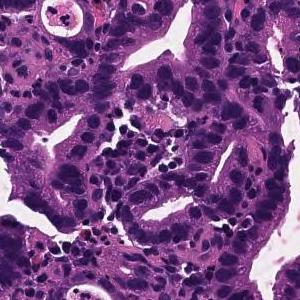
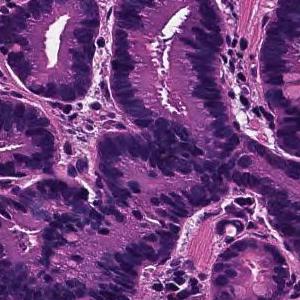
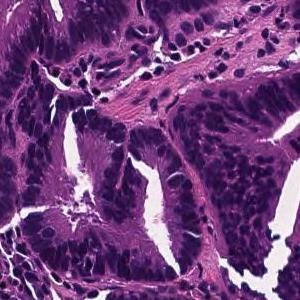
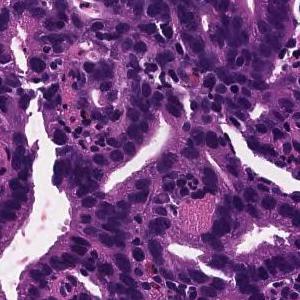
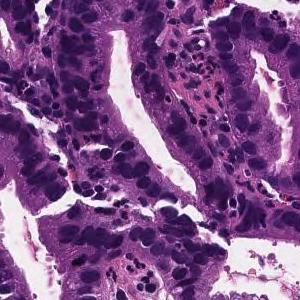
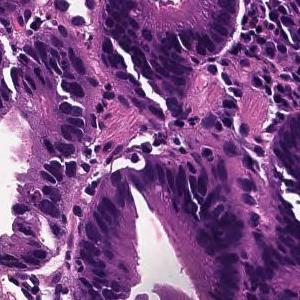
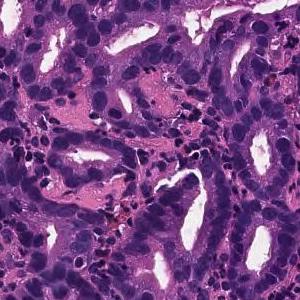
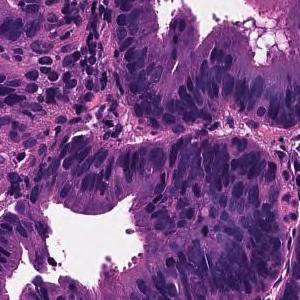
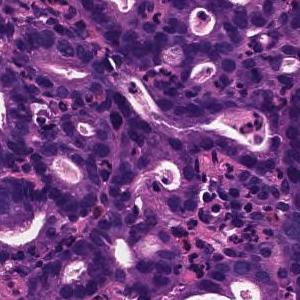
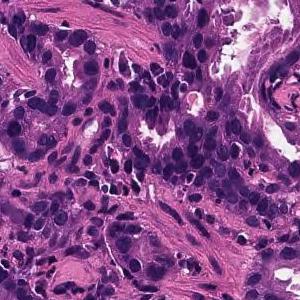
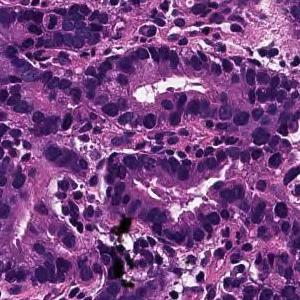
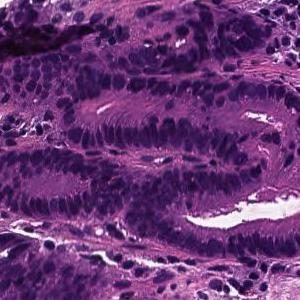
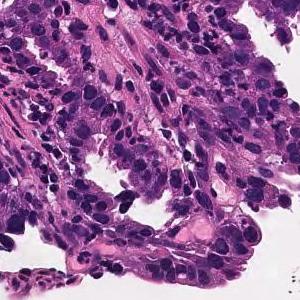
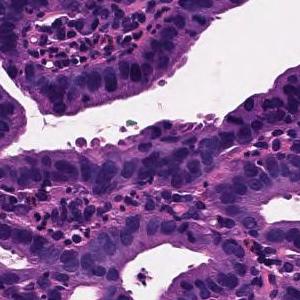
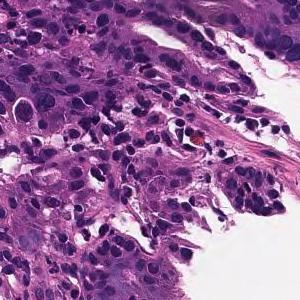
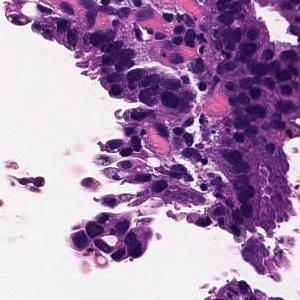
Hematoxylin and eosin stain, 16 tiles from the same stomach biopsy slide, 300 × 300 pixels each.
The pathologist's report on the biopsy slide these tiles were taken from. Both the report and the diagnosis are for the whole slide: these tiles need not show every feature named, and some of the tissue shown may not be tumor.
On the superficial epithelium, tumor tissue is found in which medium-sized irregular gland ducts fuse with each other and infiltrate. moderately differentiated tubular adenocarcinoma
